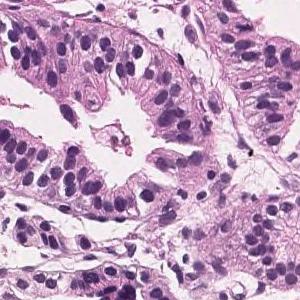
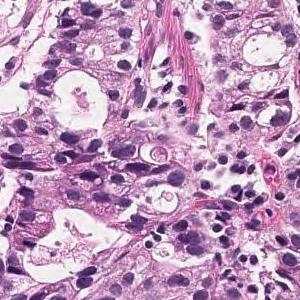
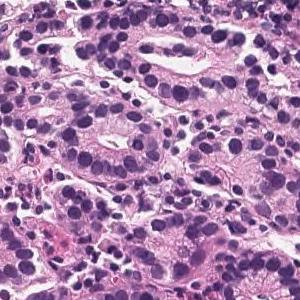
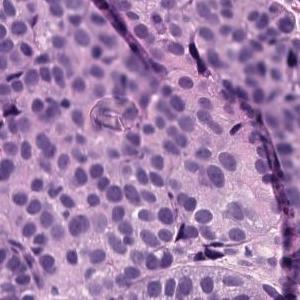
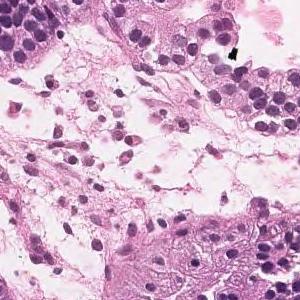
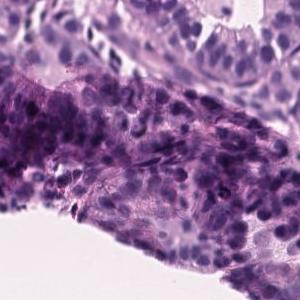
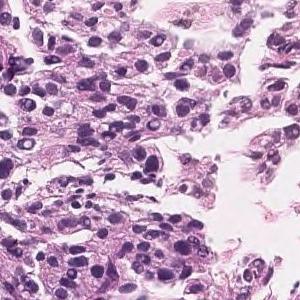
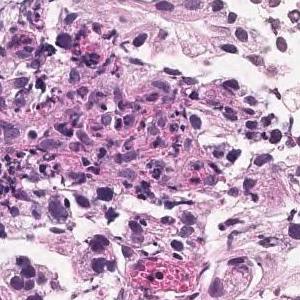
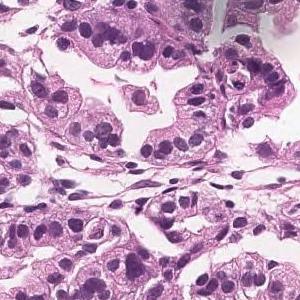
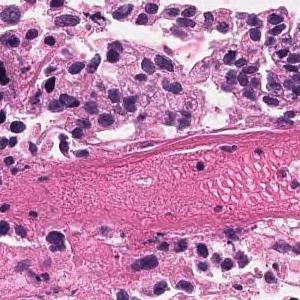
Hematoxylin and eosin stain · 10 image tiles from a single gastric biopsy slide · 300×300 px each.
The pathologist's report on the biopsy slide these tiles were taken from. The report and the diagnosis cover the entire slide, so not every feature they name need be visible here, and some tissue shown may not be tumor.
In the superficial epithelium, tumor tissue that invades by forming medium-sized to small, irregular ducts is observed. moderately differentiated tubular adenocarcinoma.
